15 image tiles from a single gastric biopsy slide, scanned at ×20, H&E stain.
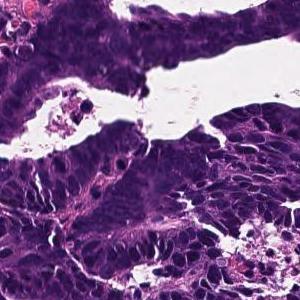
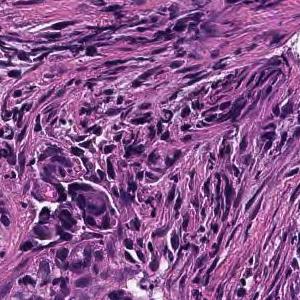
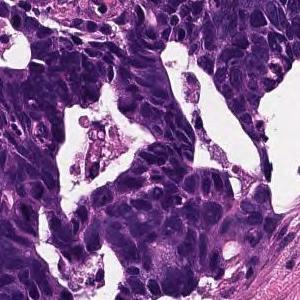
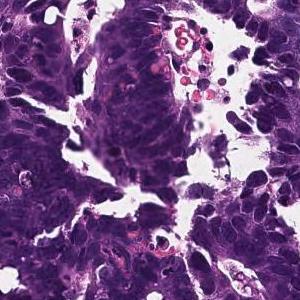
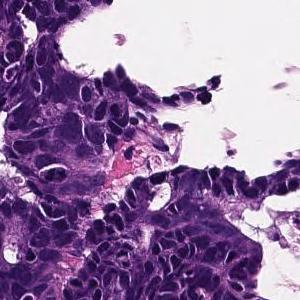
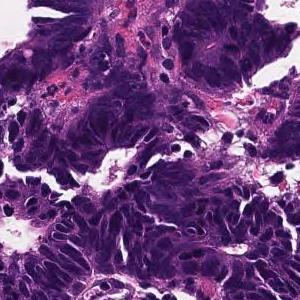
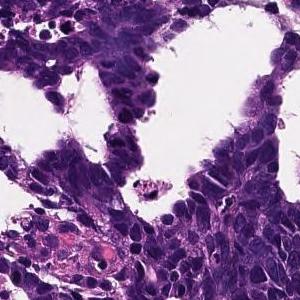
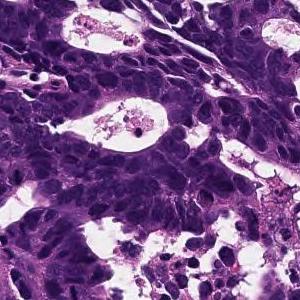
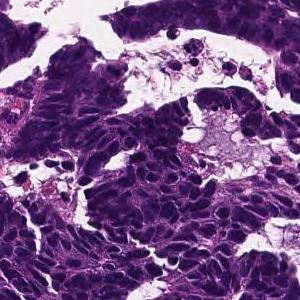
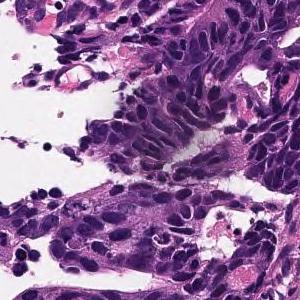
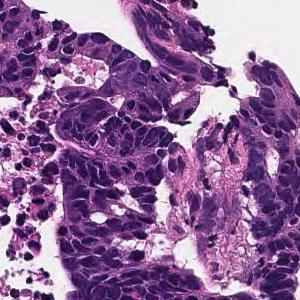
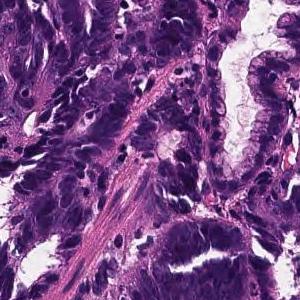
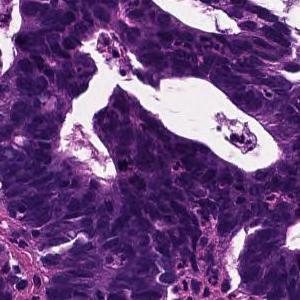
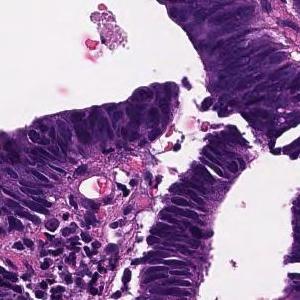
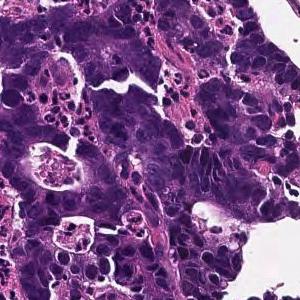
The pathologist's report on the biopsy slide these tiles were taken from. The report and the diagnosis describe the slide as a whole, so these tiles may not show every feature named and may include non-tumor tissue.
In the superficial epithelium, tumor tissue that invades by forming medium-sized to small, irregular ducts is observed. moderately differentiated tubular adenocarcinoma.
